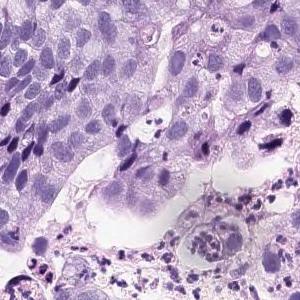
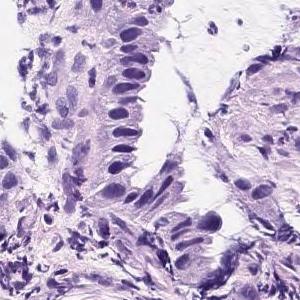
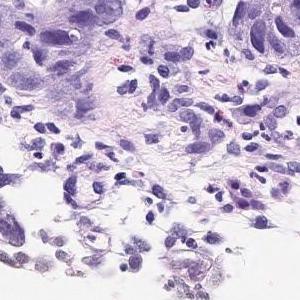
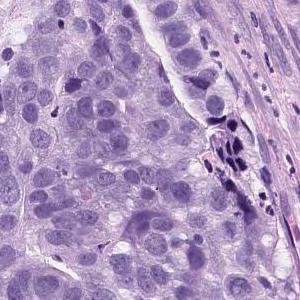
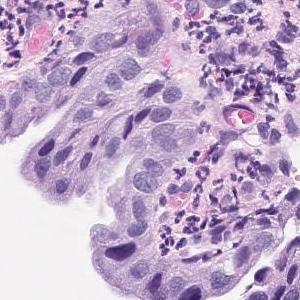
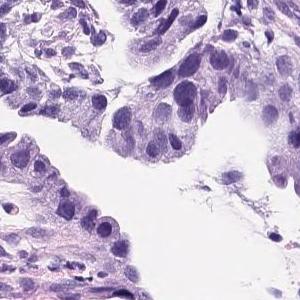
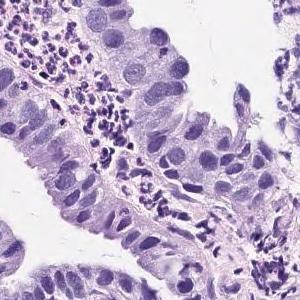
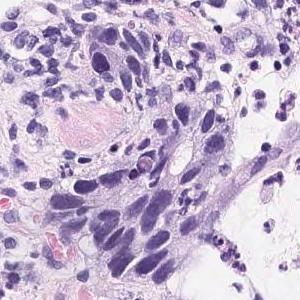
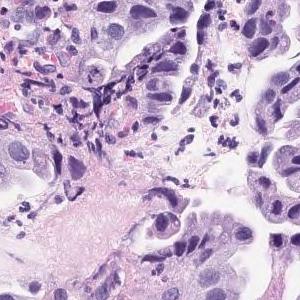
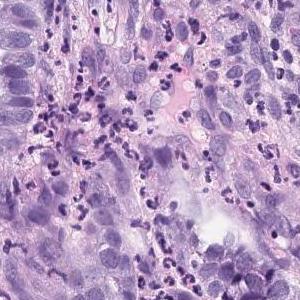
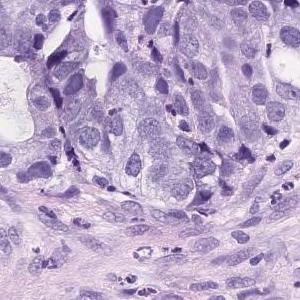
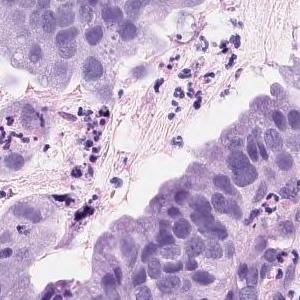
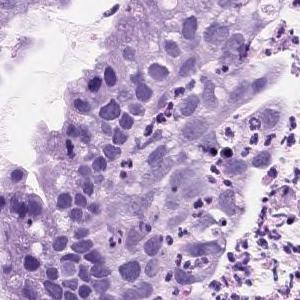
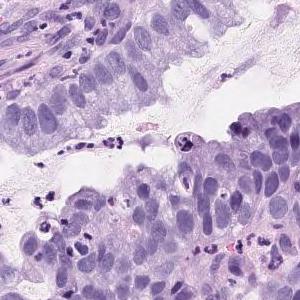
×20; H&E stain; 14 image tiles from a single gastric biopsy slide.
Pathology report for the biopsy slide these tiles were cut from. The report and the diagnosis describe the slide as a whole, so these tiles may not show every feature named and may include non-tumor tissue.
Atypical l cells with atypical nuclei forming solid or diffuse vesicles or small irregular atypical ducts and growing in a complex manner. Well differentiated tubular adenocarcinoma
